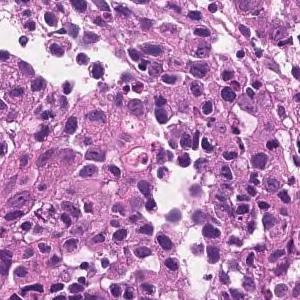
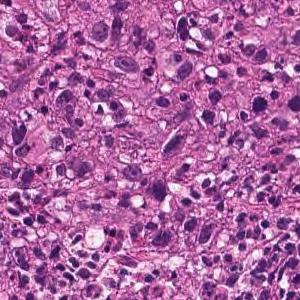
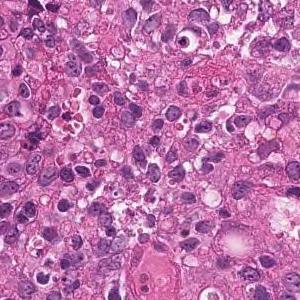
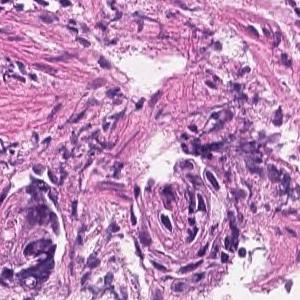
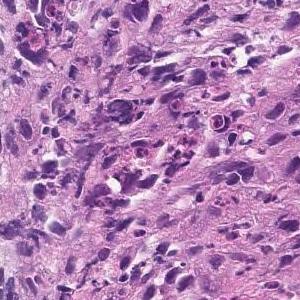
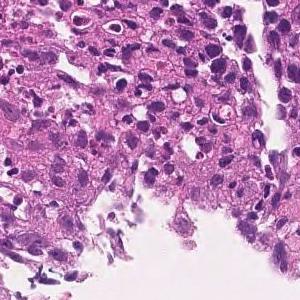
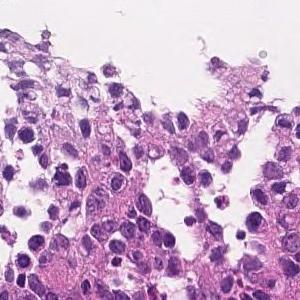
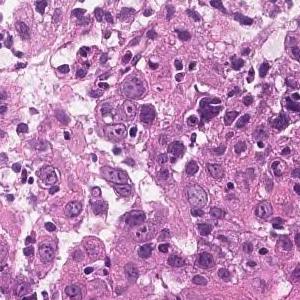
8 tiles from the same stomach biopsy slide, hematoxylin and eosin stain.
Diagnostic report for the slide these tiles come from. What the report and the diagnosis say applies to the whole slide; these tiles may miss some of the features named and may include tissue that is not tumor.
The superficial epithelium shows a large sheet-like shape, and some tumor tissue infiltrates with small irregular ducts. Poorly differentiated adenocarcinoma, solid-type
Subtype: Poorly differentiated adenocarcinoma, solid type, a category of the Japanese Classification of Gastric Carcinoma; in the WHO 2019 classification it is tubular adenocarcinoma, poorly differentiated.
